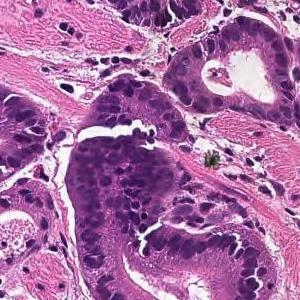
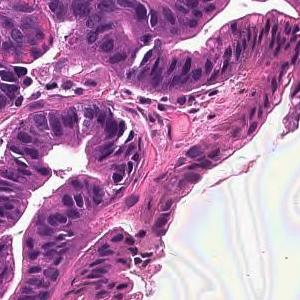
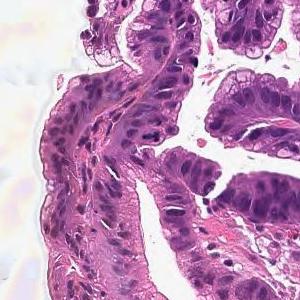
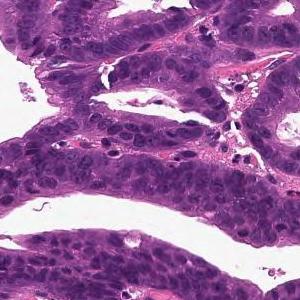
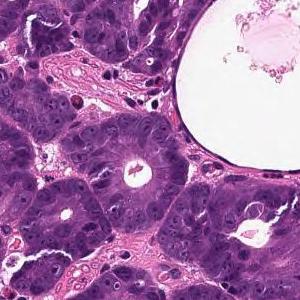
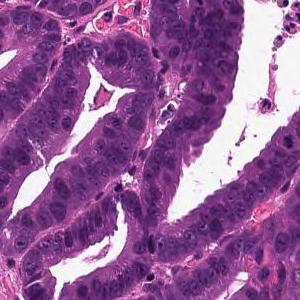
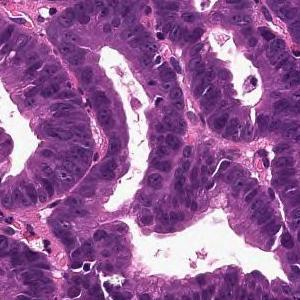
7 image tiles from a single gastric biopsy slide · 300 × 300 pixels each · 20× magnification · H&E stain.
Report on the slide these tiles come from. Both the report and the diagnosis are for the whole slide: these tiles need not show every feature named, and some of the tissue shown may not be tumor.
From the superficial epithelium to the muscularis mucosae, tumor tissue consisting of medium-sized and irregular glandular ducts infiltrating is observed. Well differentiated tubular adenocarcinoma
